12 tiles cut from one stomach biopsy slide · H&E stain.
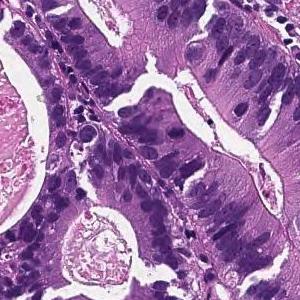
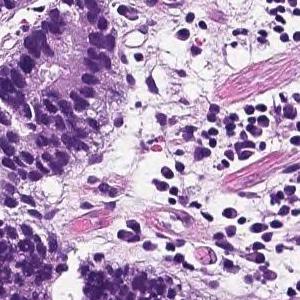
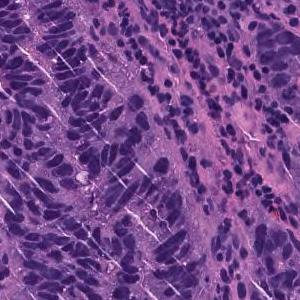
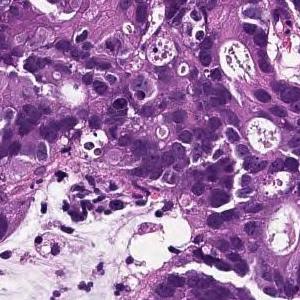
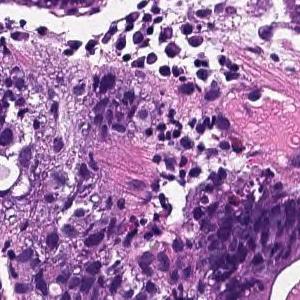
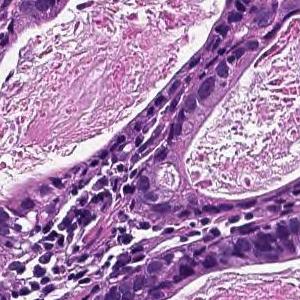
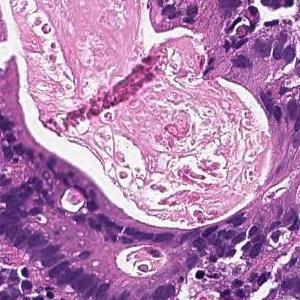
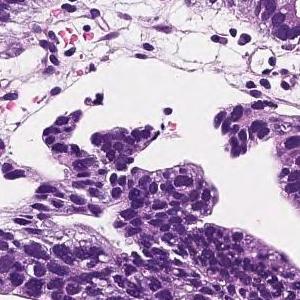
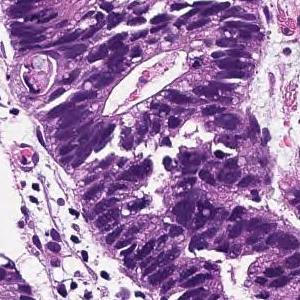
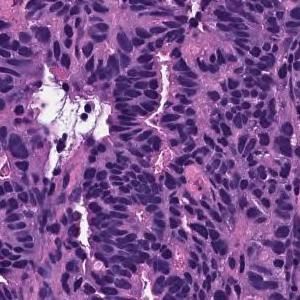
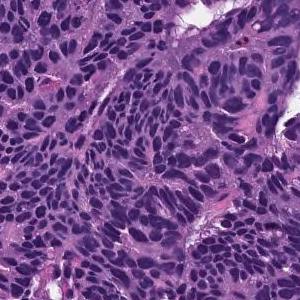
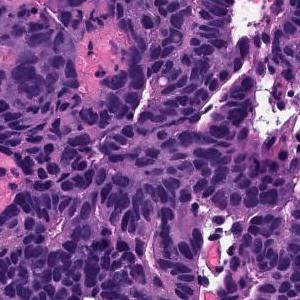
Pathology report for the slide these tiles were cut from. What the report and the diagnosis say applies to the whole slide; these tiles may miss some of the features named and may include tissue that is not tumor.
In the superficial epithelium, tumor tissue that invades by forming medium-sized to small, irregular ducts is observed. moderately differentiated tubular adenocarcinoma.
